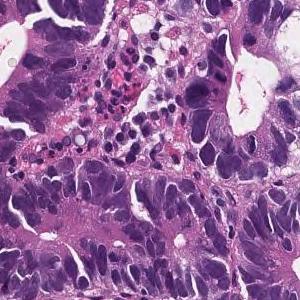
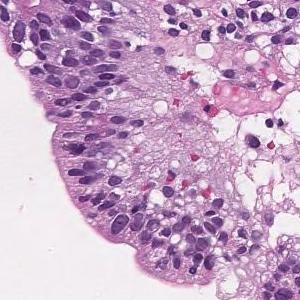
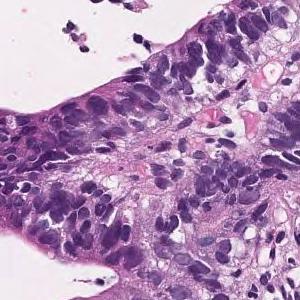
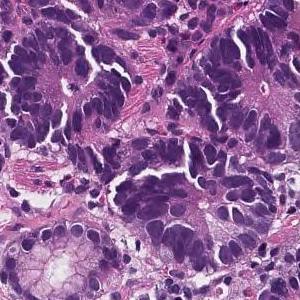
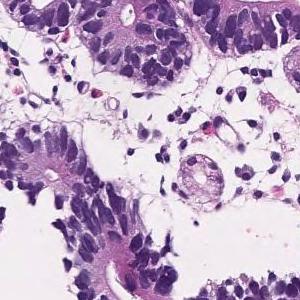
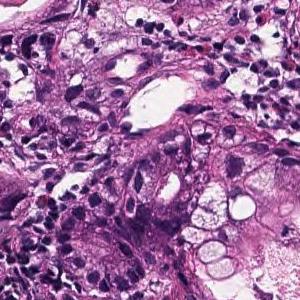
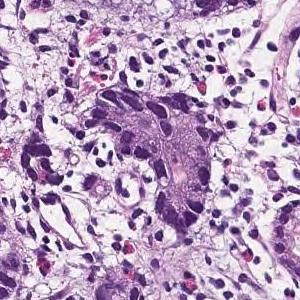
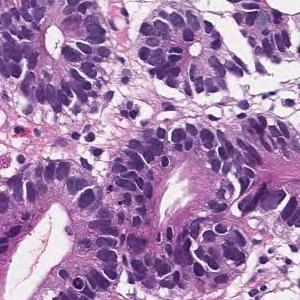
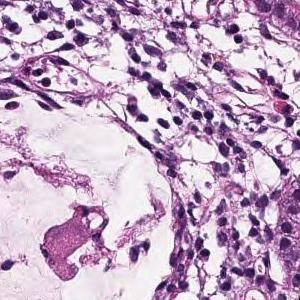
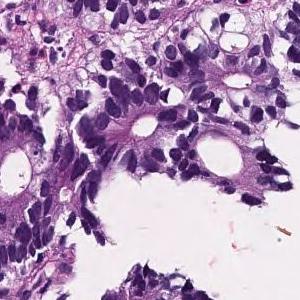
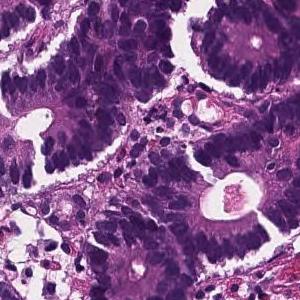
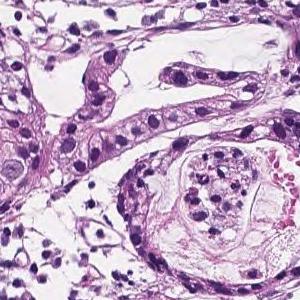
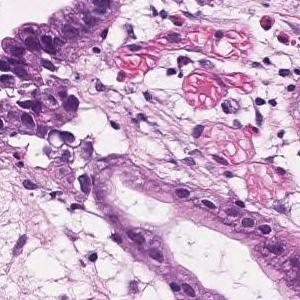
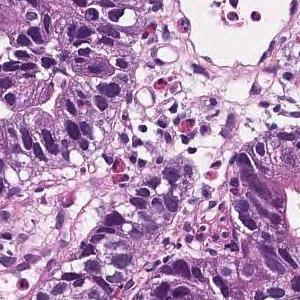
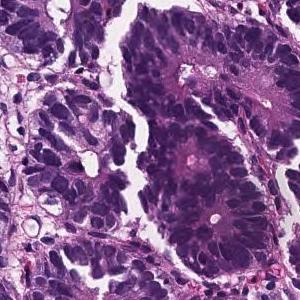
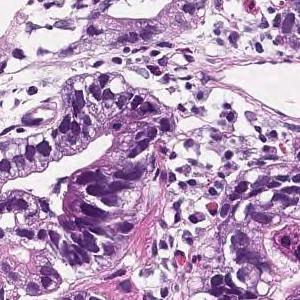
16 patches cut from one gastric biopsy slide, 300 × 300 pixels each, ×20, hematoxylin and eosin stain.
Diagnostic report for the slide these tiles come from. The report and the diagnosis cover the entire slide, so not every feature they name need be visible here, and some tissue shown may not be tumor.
On the superficial epithelium, tumor tissue consisting of large, irregular glandular ducts partially fused and infiltrated is observed. Well to moderately differentiated tubular adenocarcinoma (well differentiated tubular adenocarcinoma, moderately differentiated tubular adenocarcinoma)
Subtype: Well to moderately differentiated tubular adenocarcinoma.
